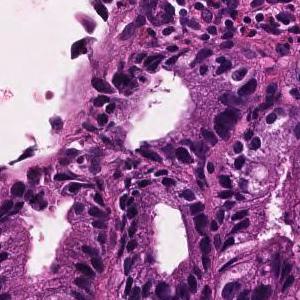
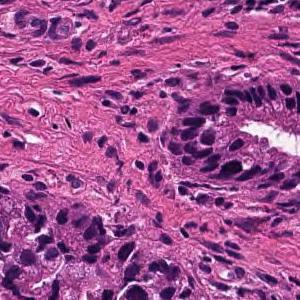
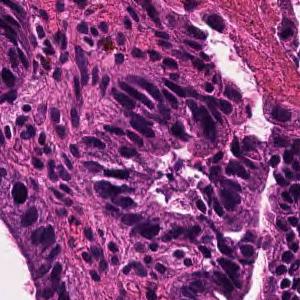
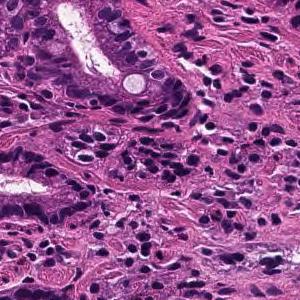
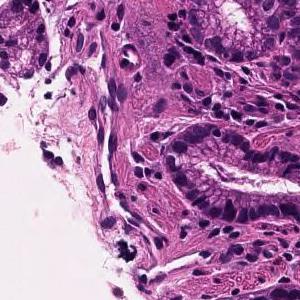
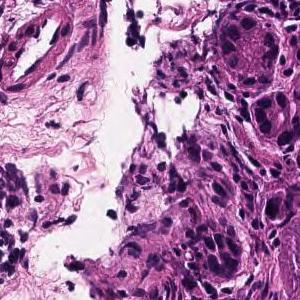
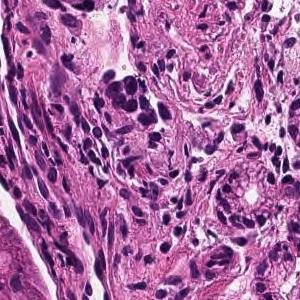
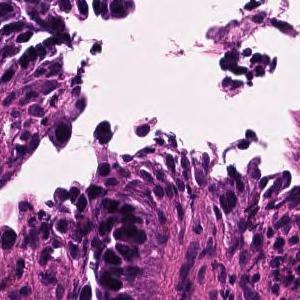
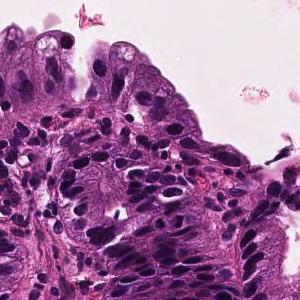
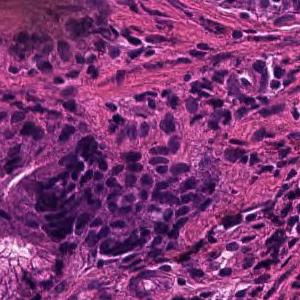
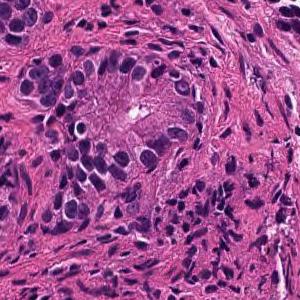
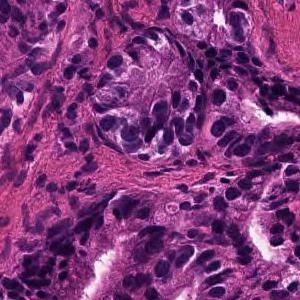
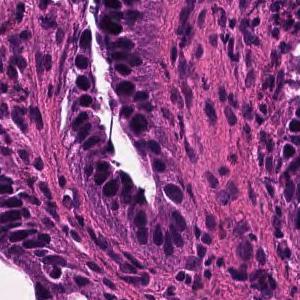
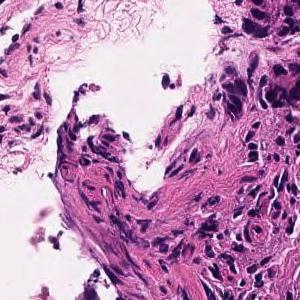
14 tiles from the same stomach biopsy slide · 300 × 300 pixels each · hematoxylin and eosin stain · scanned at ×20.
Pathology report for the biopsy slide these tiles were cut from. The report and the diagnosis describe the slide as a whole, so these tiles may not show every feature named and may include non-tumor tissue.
In the superficial epithelium, tumor tissue that invades by forming medium-sized to small, irregular ducts is observed. Well differentiated tubular adenocarcinoma.
